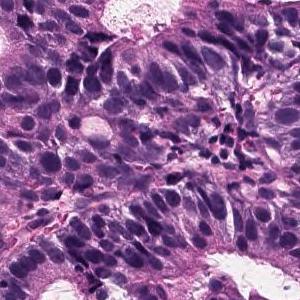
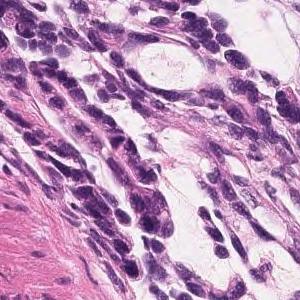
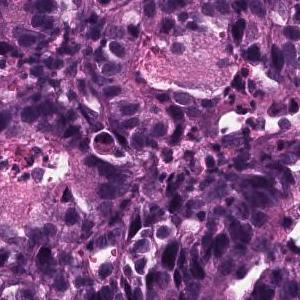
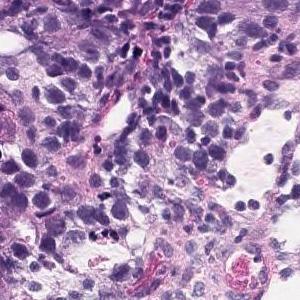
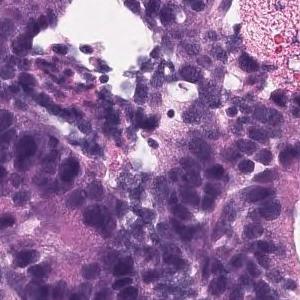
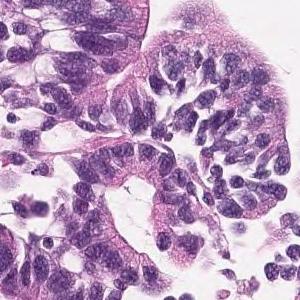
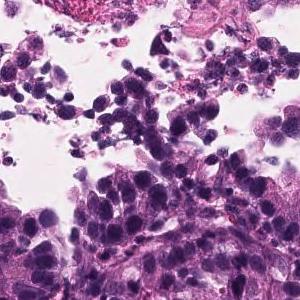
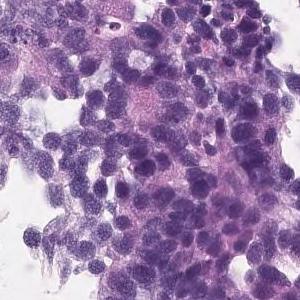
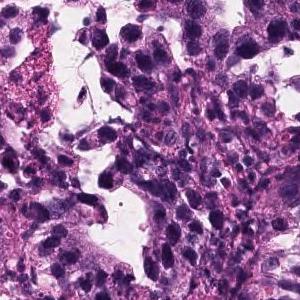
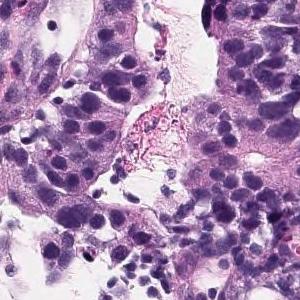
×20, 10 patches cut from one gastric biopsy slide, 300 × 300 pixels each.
Pathology report for the slide these tiles were cut from. The report describes the whole slide, diagnosis included: not every finding it names need appear in these tiles, which may also show non-tumor tissue.
In the superficial epithelium, tumor tissue that invades by forming medium-sized to small, irregular ducts is observed. moderately differentiated tubular adenocarcinoma.
